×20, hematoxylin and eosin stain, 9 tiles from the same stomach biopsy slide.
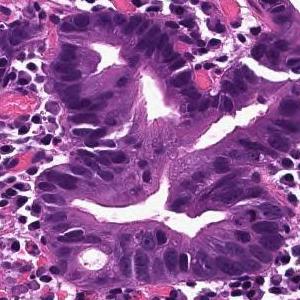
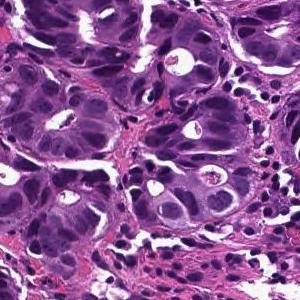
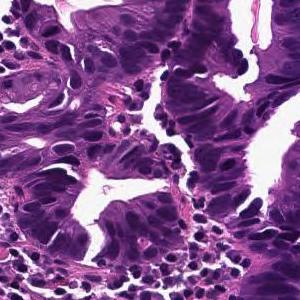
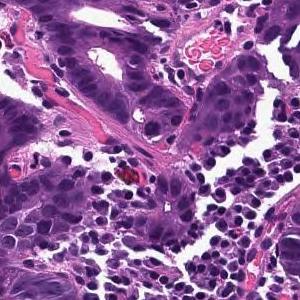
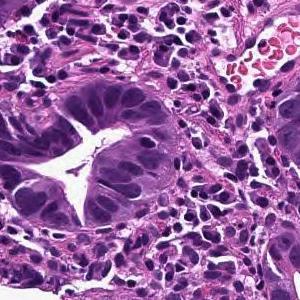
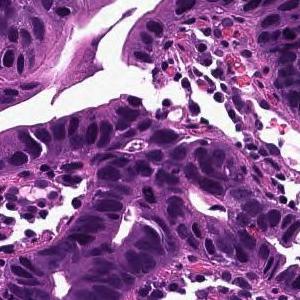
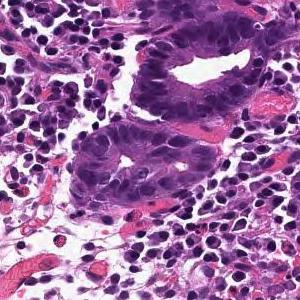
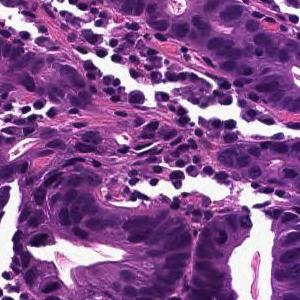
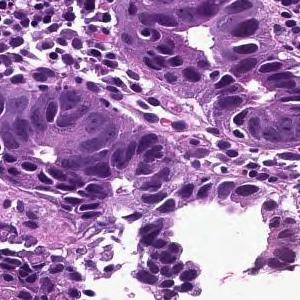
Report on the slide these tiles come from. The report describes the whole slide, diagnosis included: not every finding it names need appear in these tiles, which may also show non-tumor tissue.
From the superficial epithelium to the muscularis mucosae, tumor tissue consisting of medium-sized and irregular glandular ducts infiltrating is observed. Well differentiated tubular adenocarcinoma
